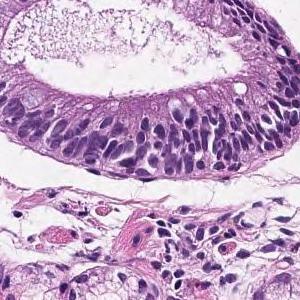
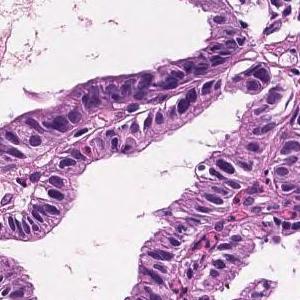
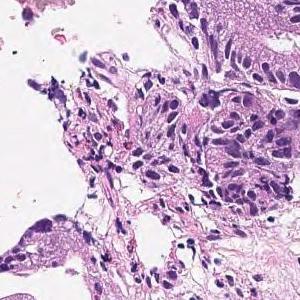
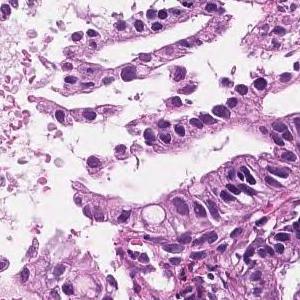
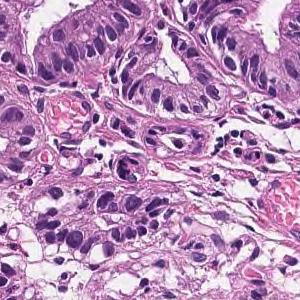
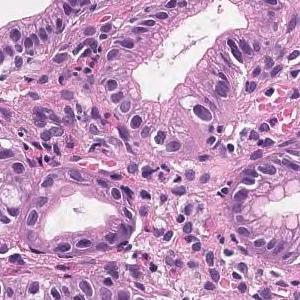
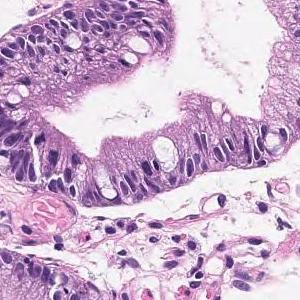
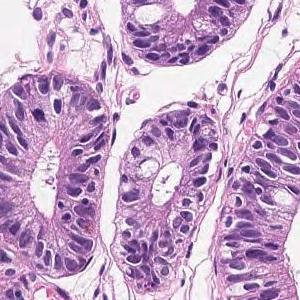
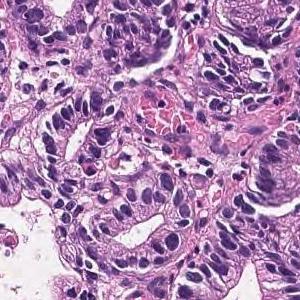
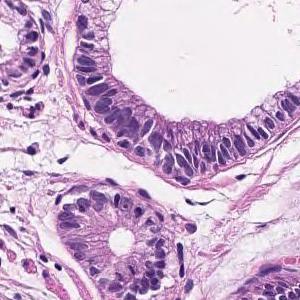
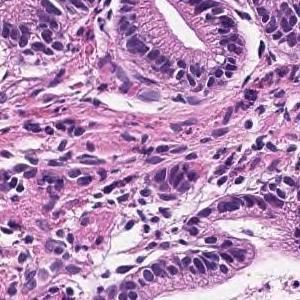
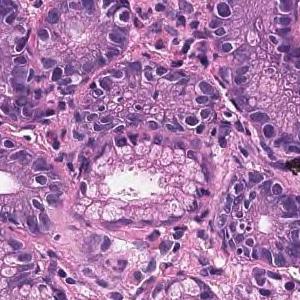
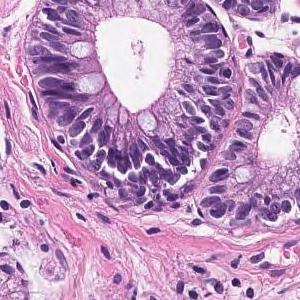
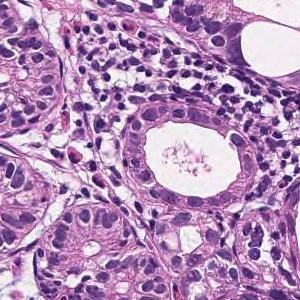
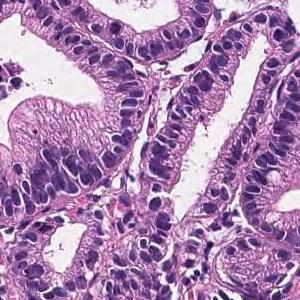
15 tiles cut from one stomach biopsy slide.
Pathology report for the biopsy slide these tiles were cut from. The findings and the diagnosis refer to the entire slide; these tiles show only part of it, possibly with non-tumor tissue, and may not show every feature named.
In the superficial epithelium, tumor tissue that invades by forming medium-sized to small, irregular ducts is observed. Well differentiated tubular adenocarcinoma.
